9 patches cut from one gastric biopsy slide · scanned at ×20 · hematoxylin and eosin stain.
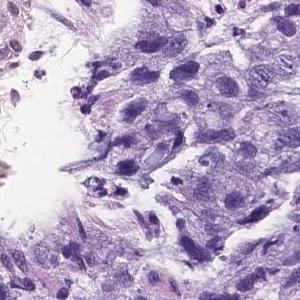
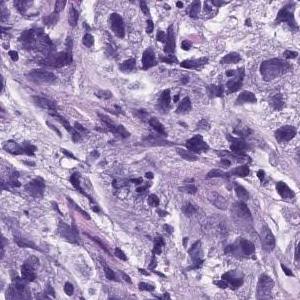
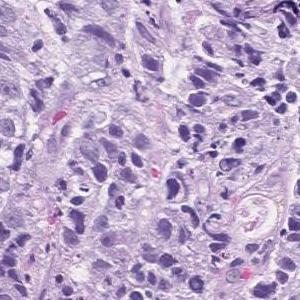
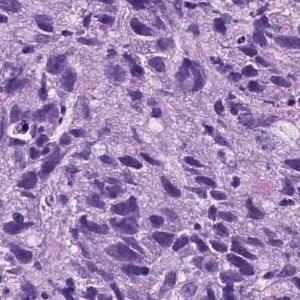
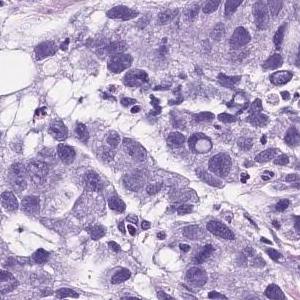
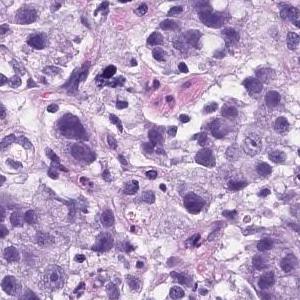
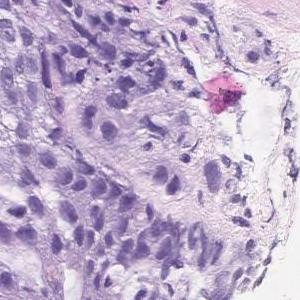
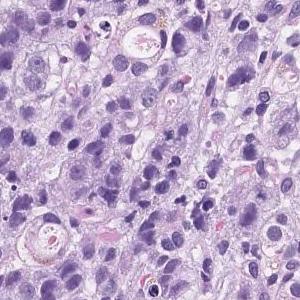
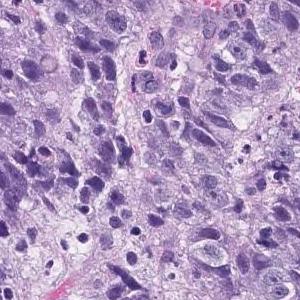
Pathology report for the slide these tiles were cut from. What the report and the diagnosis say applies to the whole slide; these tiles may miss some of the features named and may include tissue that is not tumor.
Atypical l cells with atypical nuclei forming solid vesicles or small irregular atypical ducts that proliferate in a complex manner. poorly differentiated adenocarcinoma, solid type, moderately differentiated tubular adenocarcinoma
"Solid type" is a category of the Japanese Classification of Gastric Carcinoma; in the WHO 2019 classification it is tubular adenocarcinoma, poorly differentiated.
